Scanned at ×20, hematoxylin and eosin stain, 15 tiles cut from one stomach biopsy slide, 300×300 px each.
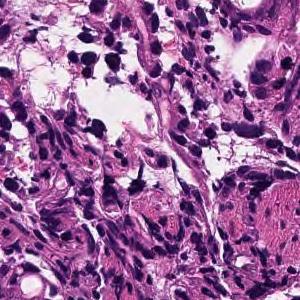
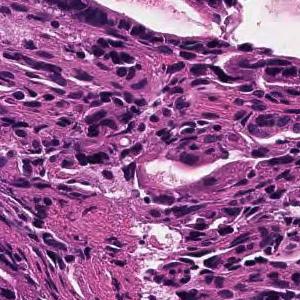
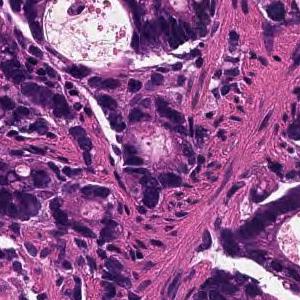
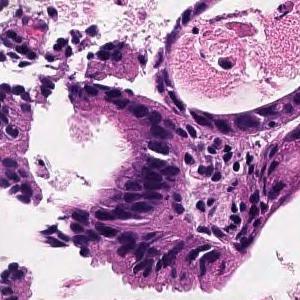
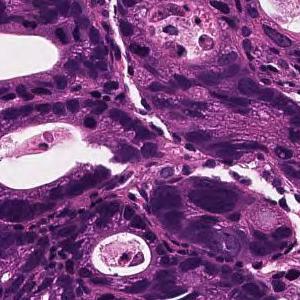
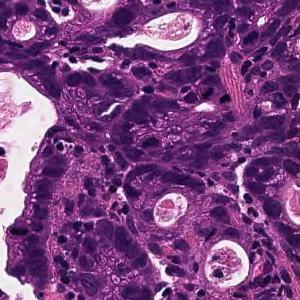
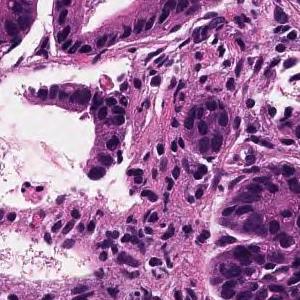
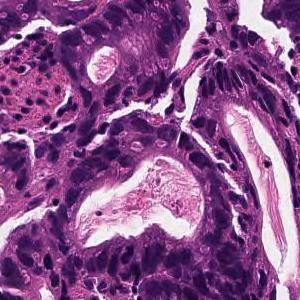
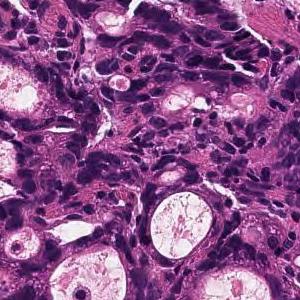
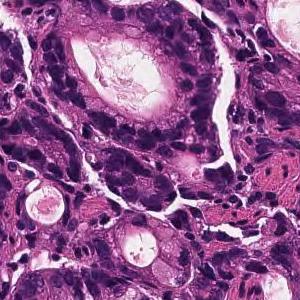
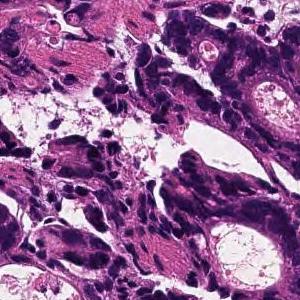
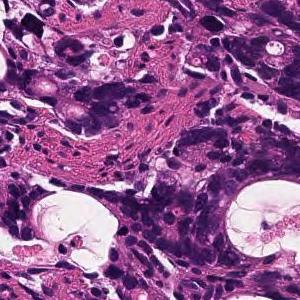
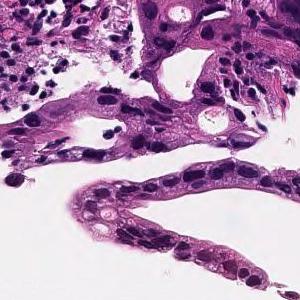
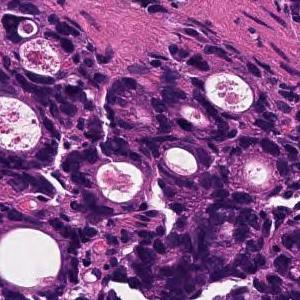
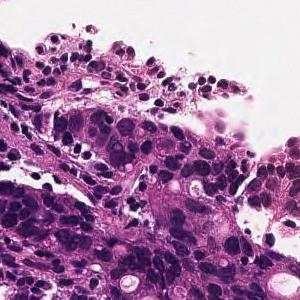
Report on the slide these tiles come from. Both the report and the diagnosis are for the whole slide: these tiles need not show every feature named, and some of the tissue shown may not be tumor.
In the superficial epithelium, tumor tissue that invades by forming medium-sized to small, irregular ducts is observed. moderately differentiated tubular adenocarcinoma.
